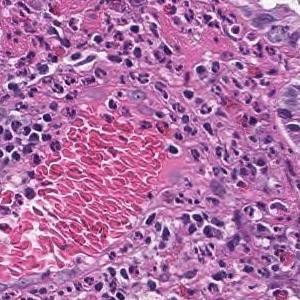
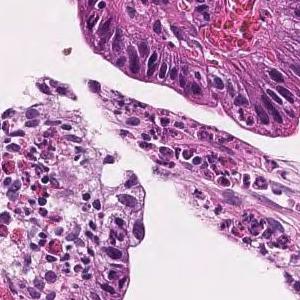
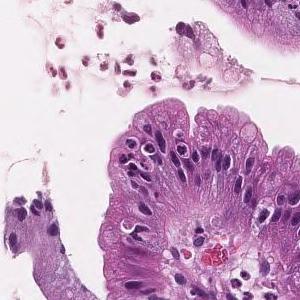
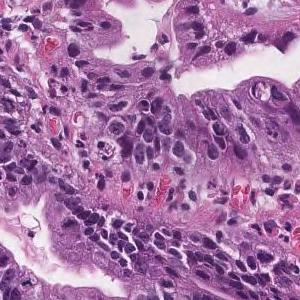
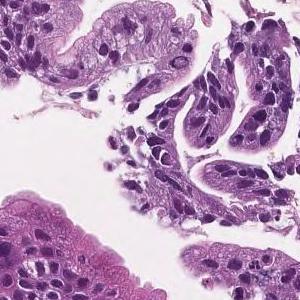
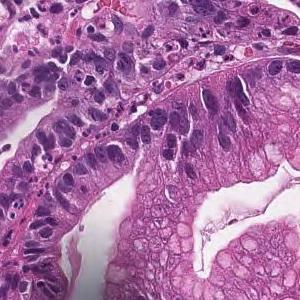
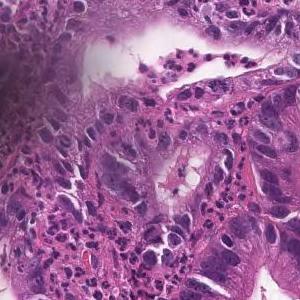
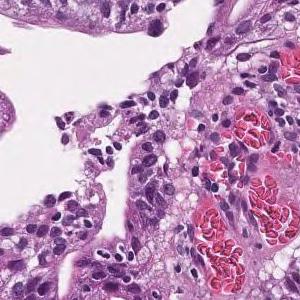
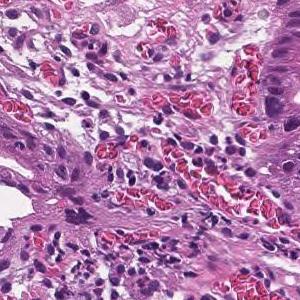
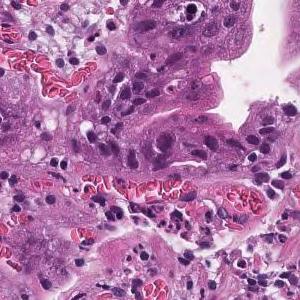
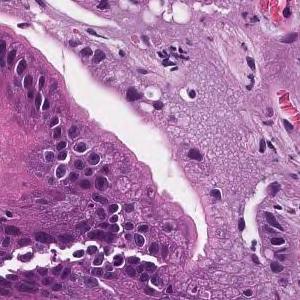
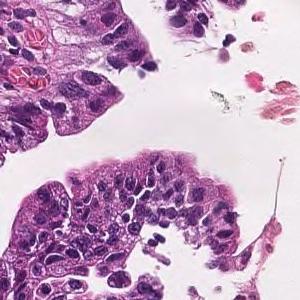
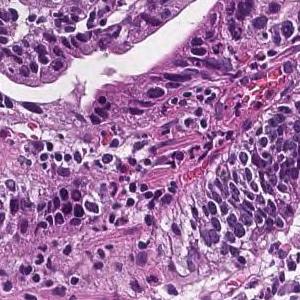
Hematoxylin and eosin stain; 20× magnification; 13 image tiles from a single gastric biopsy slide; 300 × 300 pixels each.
Report on the slide these tiles come from. Both the report and the diagnosis are for the whole slide: these tiles need not show every feature named, and some of the tissue shown may not be tumor.
Tumor cells are large, highly columnar, large club-shaped nuclei, and are associated with chromatin aggregation. Papillary adenocarcinoma.
